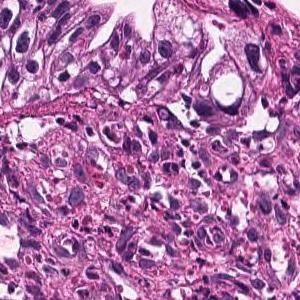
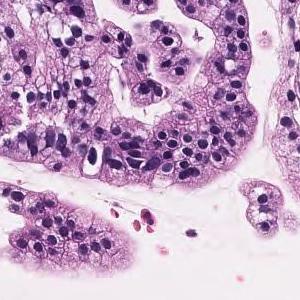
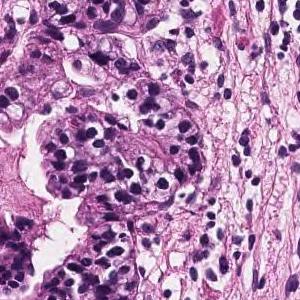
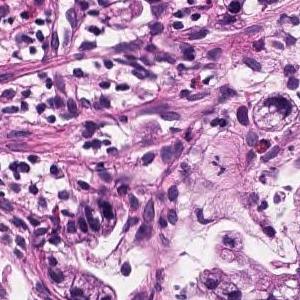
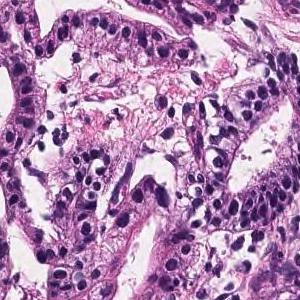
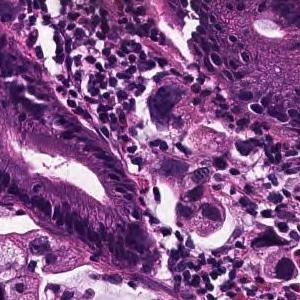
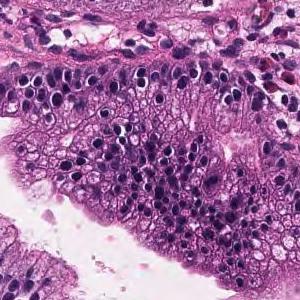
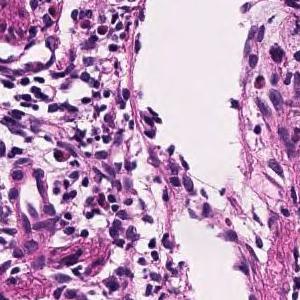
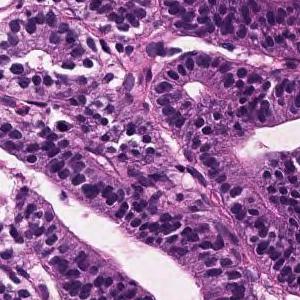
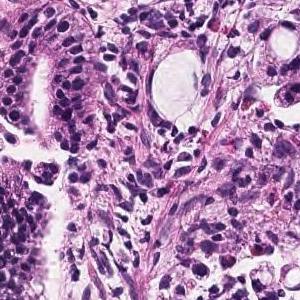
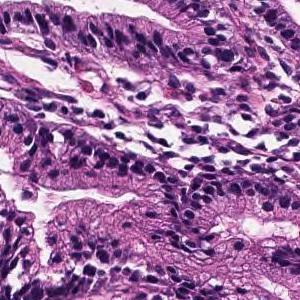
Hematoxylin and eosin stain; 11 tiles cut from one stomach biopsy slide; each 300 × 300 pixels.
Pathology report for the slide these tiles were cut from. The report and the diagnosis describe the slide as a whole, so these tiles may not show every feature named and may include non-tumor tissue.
Tumor tissue consisting of large papillary structures or irregular glandular ducts partially fused and infiltrated is observed in the superficial epithelium. Well to moderately differentiated tubular adenocarcinoma.
Labeled in the dataset as moderately differentiated tubular adenocarcinoma.
